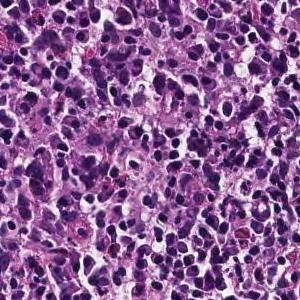
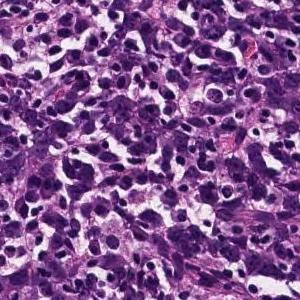
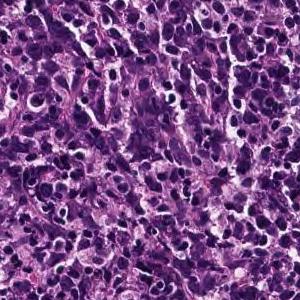
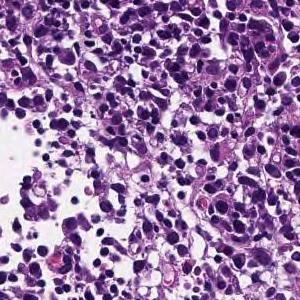
Hematoxylin and eosin stain; 4 patches cut from one gastric biopsy slide; 300×300 px each.
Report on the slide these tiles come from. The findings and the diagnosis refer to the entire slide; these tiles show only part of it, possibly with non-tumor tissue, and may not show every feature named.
Tumor tissue consisting of cord-like or small, irregular glandular ducts fused and infiltrated is observed in the superficial epithelium. Poorly differentiated adenocarcinoma, non-solid type
The term "non-solid type" comes from the Japanese Classification of Gastric Carcinoma.
